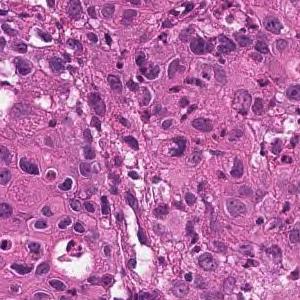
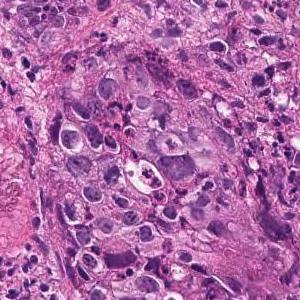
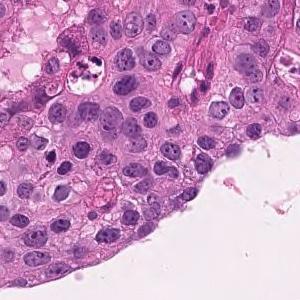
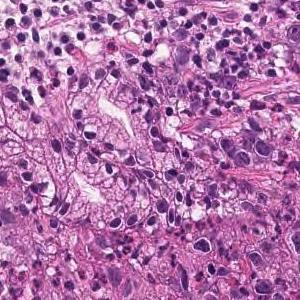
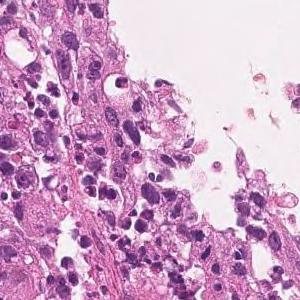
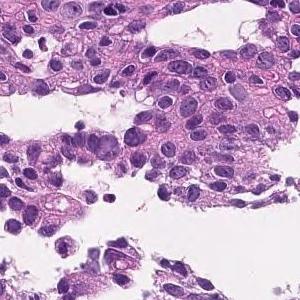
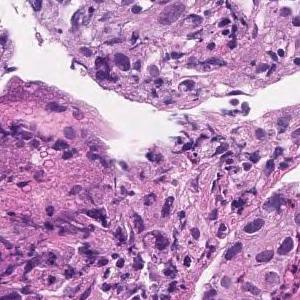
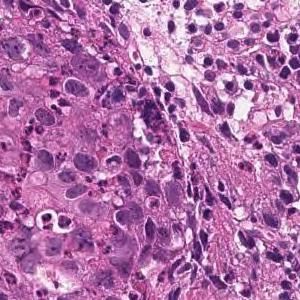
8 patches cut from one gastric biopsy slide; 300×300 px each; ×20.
Pathology report for the slide these tiles were cut from. The findings and the diagnosis refer to the entire slide; these tiles show only part of it, possibly with non-tumor tissue, and may not show every feature named.
The superficial epithelium shows a large sheet-like shape, and some tumor tissue infiltrates with small irregular ducts. Poorly differentiated adenocarcinoma, solid-type
Subtype: Poorly differentiated adenocarcinoma, solid type. This name comes from the Japanese Classification of Gastric Carcinoma; the WHO 2019 classification calls it tubular adenocarcinoma, poorly differentiated.
